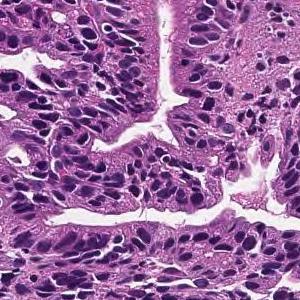
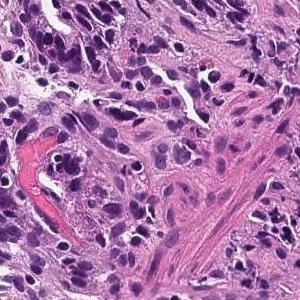
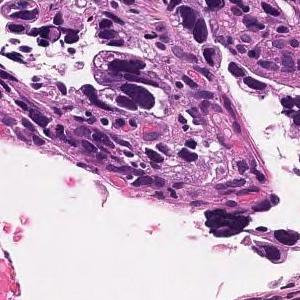
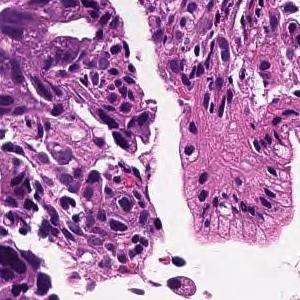
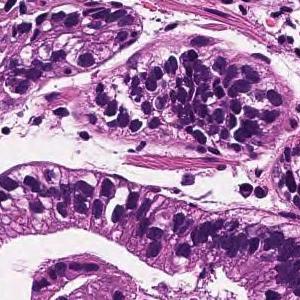
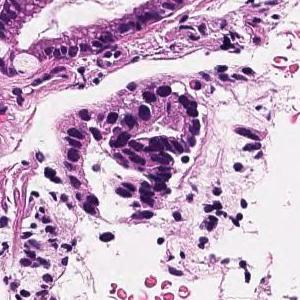
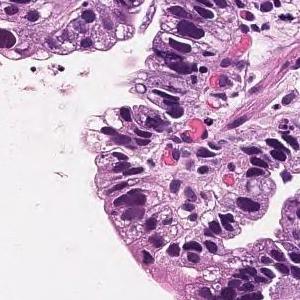
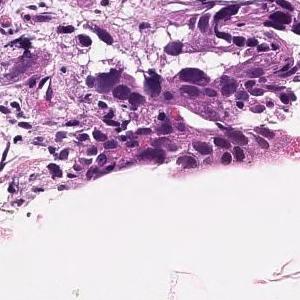
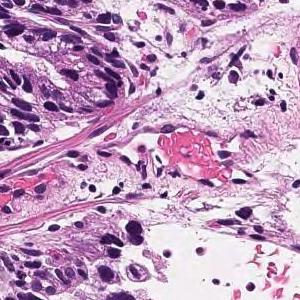
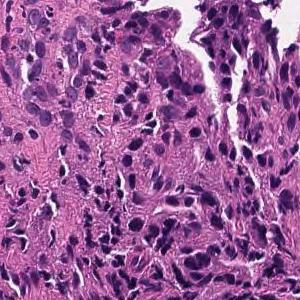
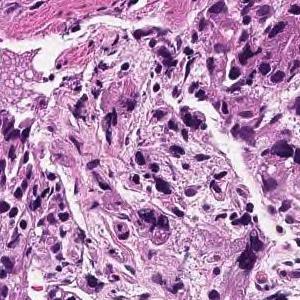
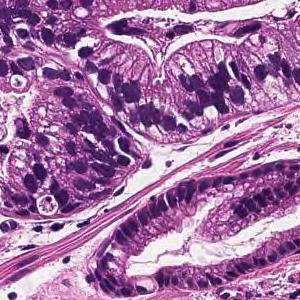
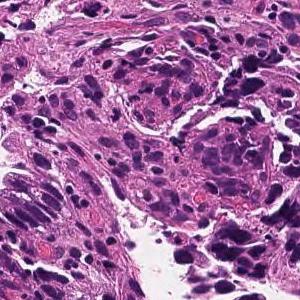
13 image tiles from a single gastric biopsy slide · H&E stain · scanned at ×20.
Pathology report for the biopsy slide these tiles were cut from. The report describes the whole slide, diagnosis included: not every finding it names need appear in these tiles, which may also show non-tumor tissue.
On the superficial epithelium, tumor tissue is found in which medium-sized irregular gland ducts fuse with each other and infiltrate. moderately differentiated tubular adenocarcinoma or Poorly differentiated adenocarcinoma, non-solid type
Subtype: Moderately to poorly differentiated adenocarcinoma.
The non-solid type named here is a Japanese Classification of Gastric Carcinoma category.
